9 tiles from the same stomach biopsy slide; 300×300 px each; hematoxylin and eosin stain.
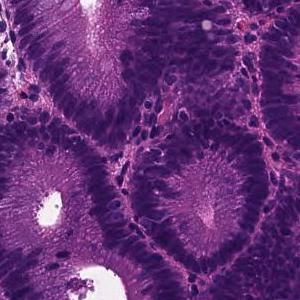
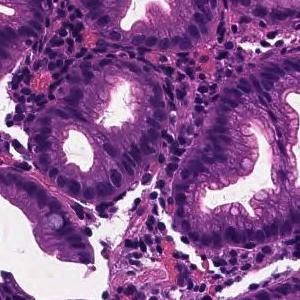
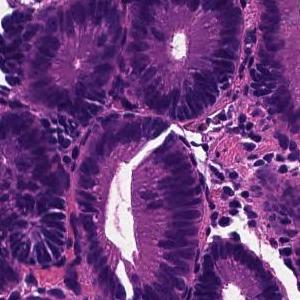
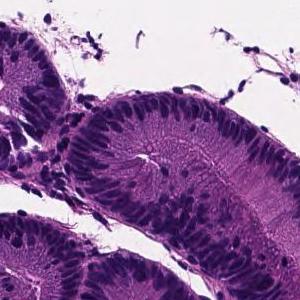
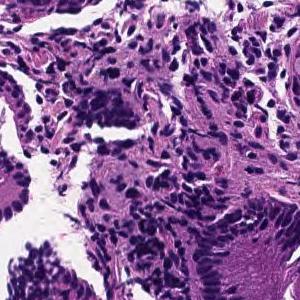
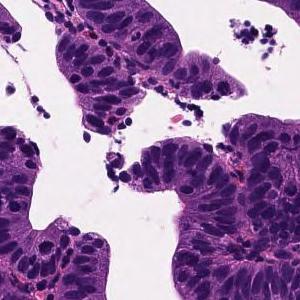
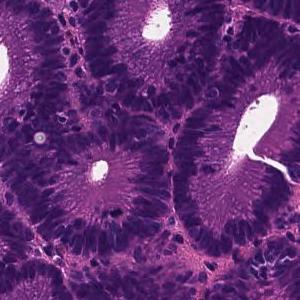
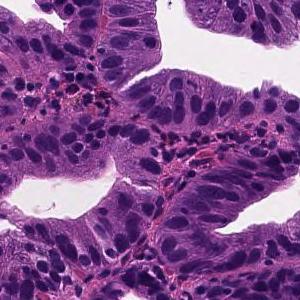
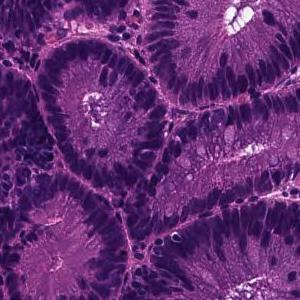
Pathology report for the slide these tiles were cut from. What the report and the diagnosis say applies to the whole slide; these tiles may miss some of the features named and may include tissue that is not tumor.
Tumor tissue in which medium to small irregular ducts infiltrate and proliferate in the submucosa can be seen in the epithelium. Well differentiated tubular adenocarcinoma
